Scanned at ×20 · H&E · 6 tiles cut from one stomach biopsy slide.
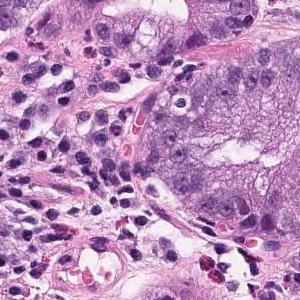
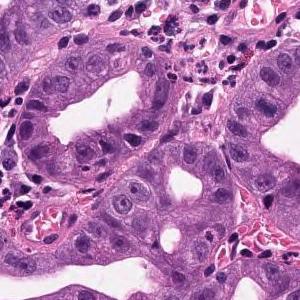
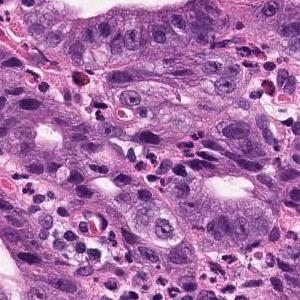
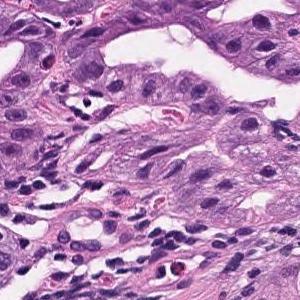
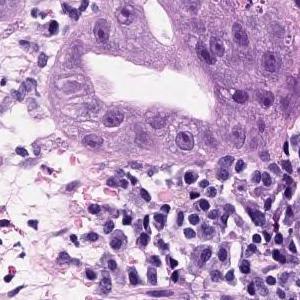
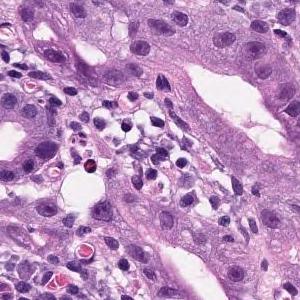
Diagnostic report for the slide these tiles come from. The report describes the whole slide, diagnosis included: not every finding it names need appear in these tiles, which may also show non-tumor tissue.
In the superficial epithelium, tumor tissue that invades by forming medium-sized to small, irregular ducts is observed. Well to moderately differentiated adenocarcinoma (well differentiated tubular adenocarcinoma, moderately differentiated tubular adenocarcinoma).
Tumor subtype: well to moderately differentiated tubular adenocarcinoma.
